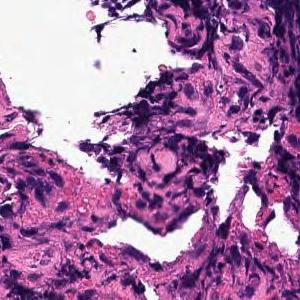
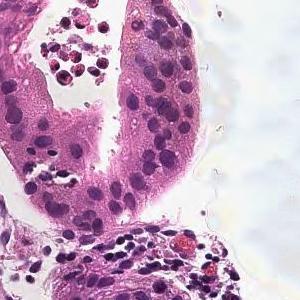
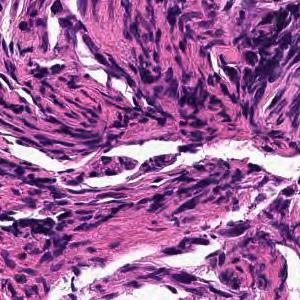
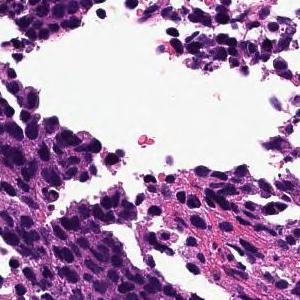
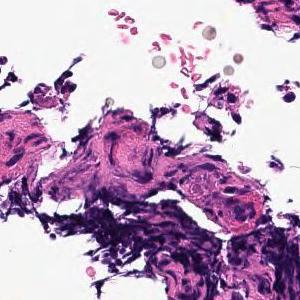
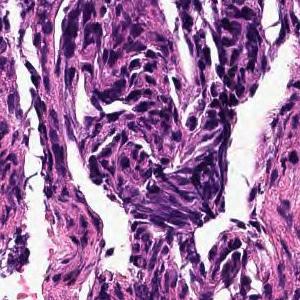
Hematoxylin and eosin stain · 6 tiles cut from one stomach biopsy slide.
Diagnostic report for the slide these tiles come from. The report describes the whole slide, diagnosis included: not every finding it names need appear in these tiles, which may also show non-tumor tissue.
In the superficial epithelium, tumor tissue that invades by forming medium-sized to small, irregular ducts is observed. moderately differentiated tubular adenocarcinoma.
